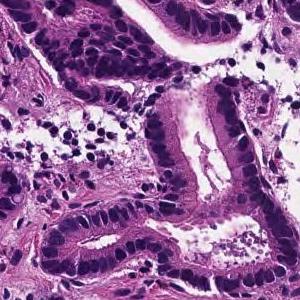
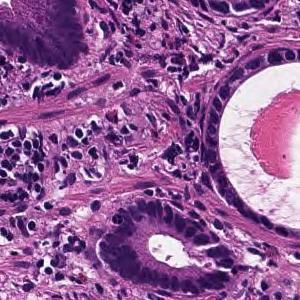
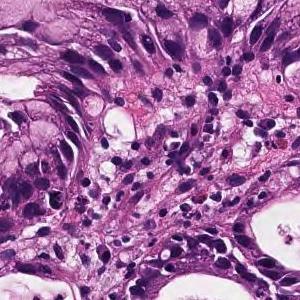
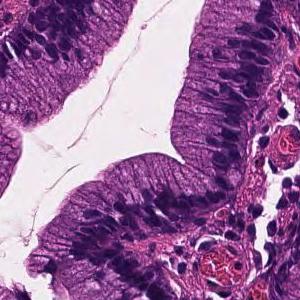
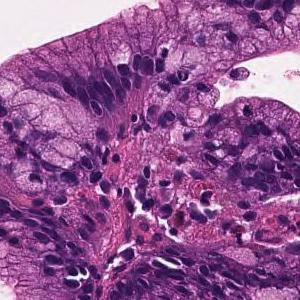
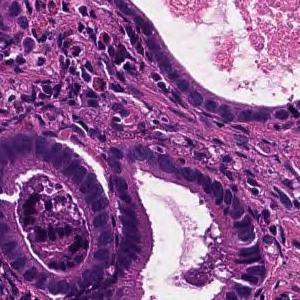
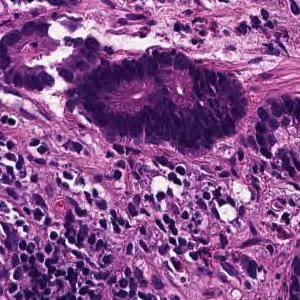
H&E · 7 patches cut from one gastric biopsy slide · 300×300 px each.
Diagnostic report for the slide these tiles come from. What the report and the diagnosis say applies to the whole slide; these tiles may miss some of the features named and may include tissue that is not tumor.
On the superficial epithelium, tumor tissue consisting of medium-sized and irregular glandular ducts partially fused and infiltrated is observed. Well to moderately differentiated tubular adenocarcinoma (well differentiated tubular adenocarcinoma-moderately differentiated tubular adenocarcinoma)
Classified as well to moderately differentiated tubular adenocarcinoma.
